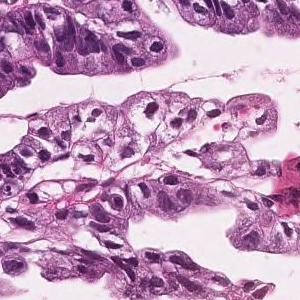
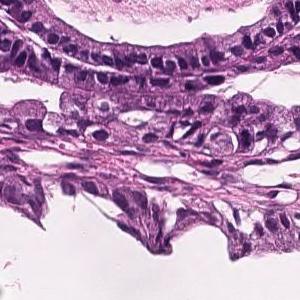
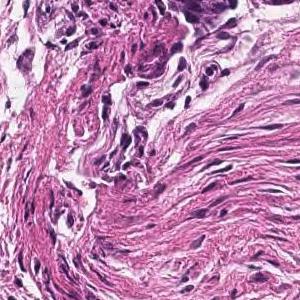
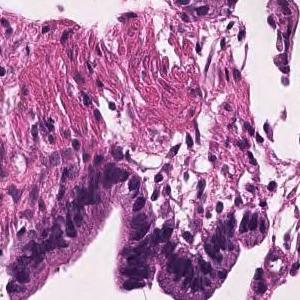
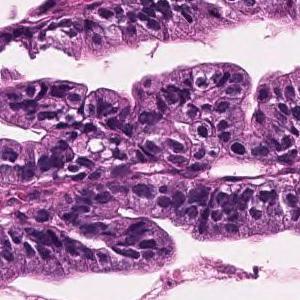
×20, H&E, 5 tiles cut from one stomach biopsy slide.
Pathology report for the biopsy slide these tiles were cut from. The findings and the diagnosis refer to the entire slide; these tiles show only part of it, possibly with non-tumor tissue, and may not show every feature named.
Tumor cells are large, highly columnar, large club-shaped nuclei, and are associated with chromatin aggregation. Papillary adenocarcinoma.
